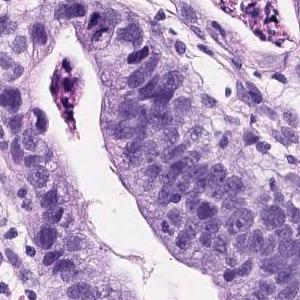
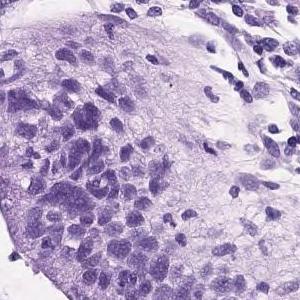
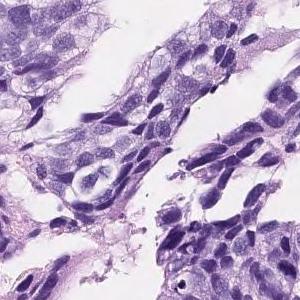
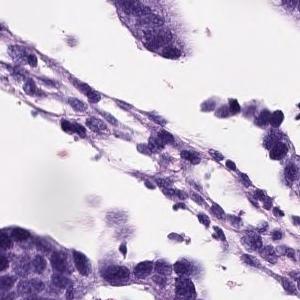
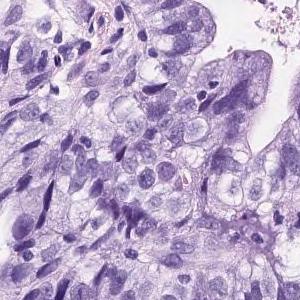
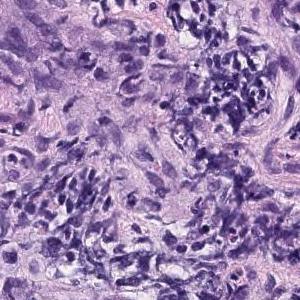
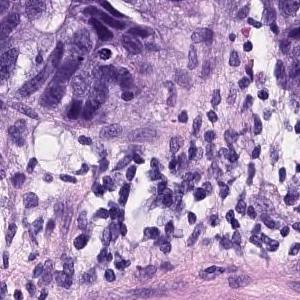
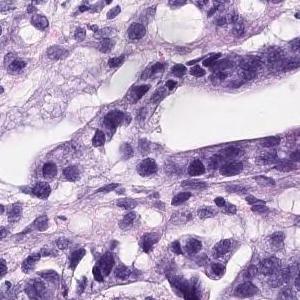
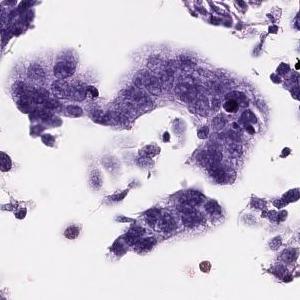
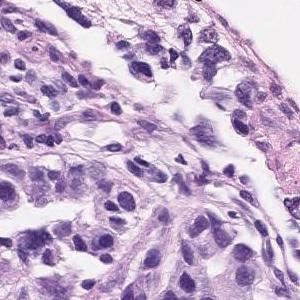
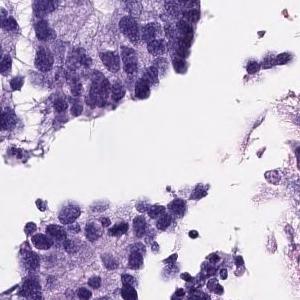
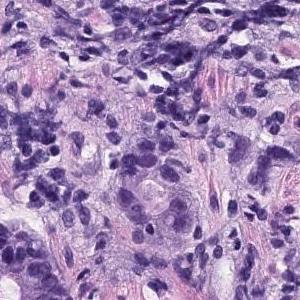
20× magnification; H&E; 12 tiles cut from one stomach biopsy slide.
Pathology report for the slide these tiles were cut from. The findings and the diagnosis refer to the entire slide; these tiles show only part of it, possibly with non-tumor tissue, and may not show every feature named.
On the superficial epithelium, tumor tissue consisting of medium to small irregular tubules partially fused and proliferated is observed. moderately differentiated tubular adenocarcinoma
